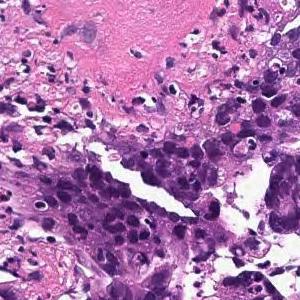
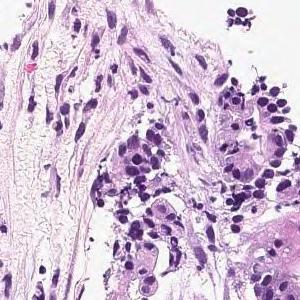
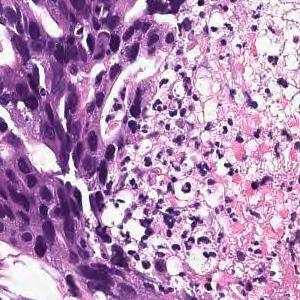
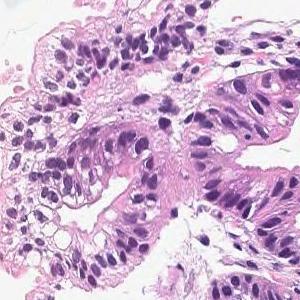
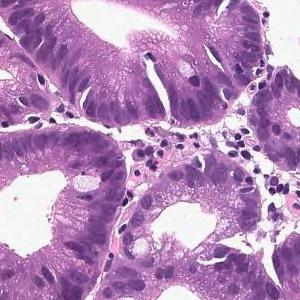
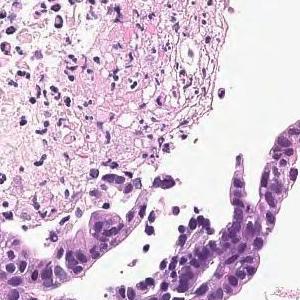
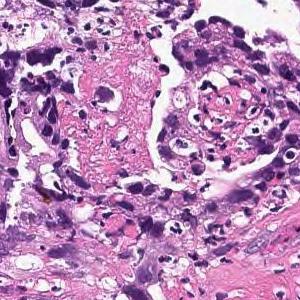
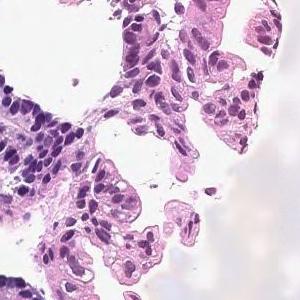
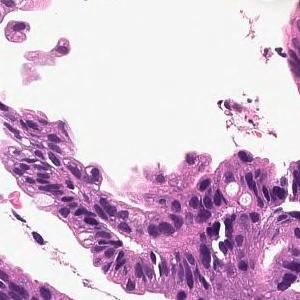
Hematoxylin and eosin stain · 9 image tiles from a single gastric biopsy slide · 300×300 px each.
Pathology report for the slide these tiles were cut from. The report describes the whole slide, diagnosis included: not every finding it names need appear in these tiles, which may also show non-tumor tissue.
In the superficial epithelium, tumor tissue that invades by forming medium-sized to small, irregular ducts is observed. moderately differentiated tubular adenocarcinoma.
